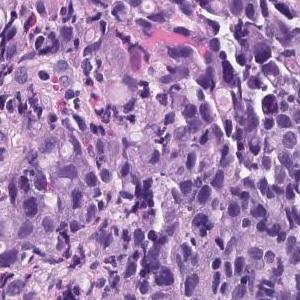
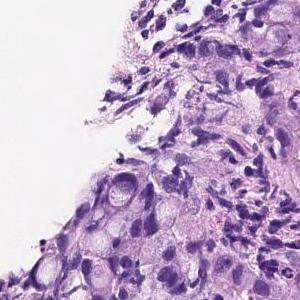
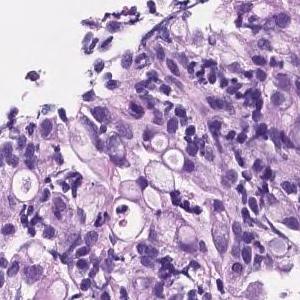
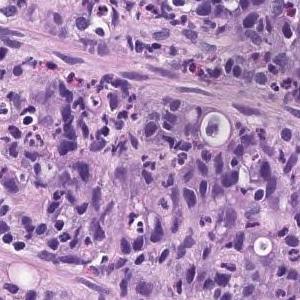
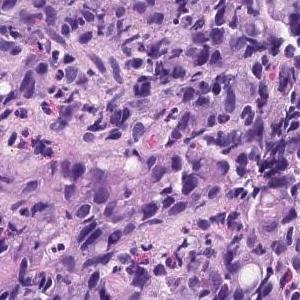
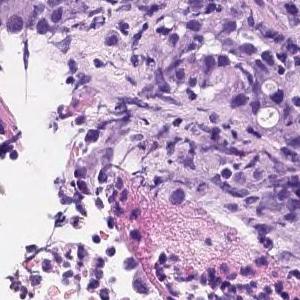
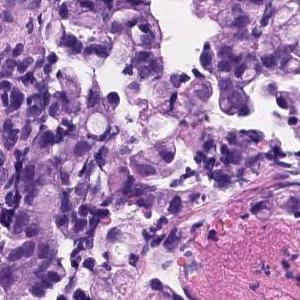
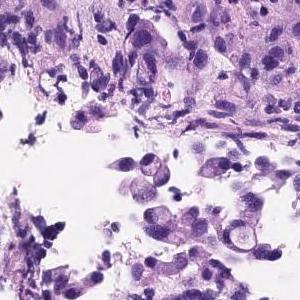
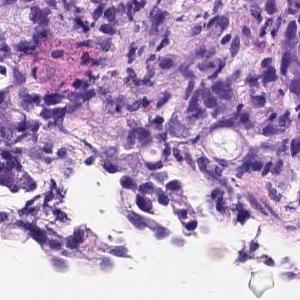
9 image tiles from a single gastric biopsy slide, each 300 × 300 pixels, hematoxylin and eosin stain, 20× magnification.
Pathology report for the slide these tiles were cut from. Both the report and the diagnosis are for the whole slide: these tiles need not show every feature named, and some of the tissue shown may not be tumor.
Diffusely growing signet-ring cells are found in the lamina propria. Signet ring cell carcinoma.
